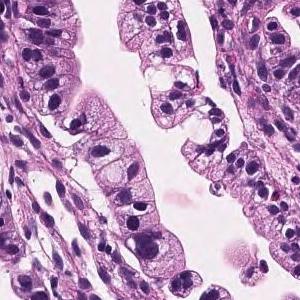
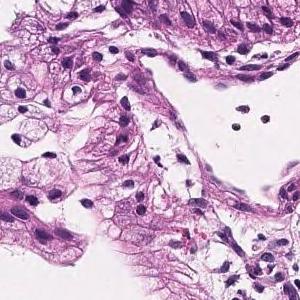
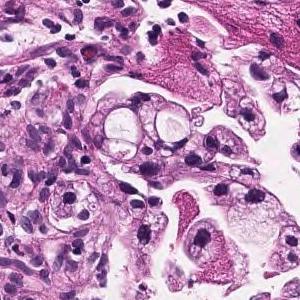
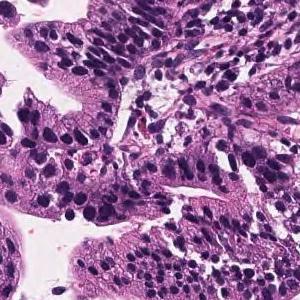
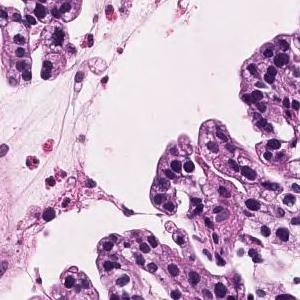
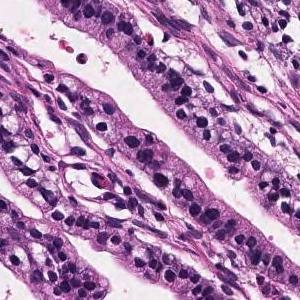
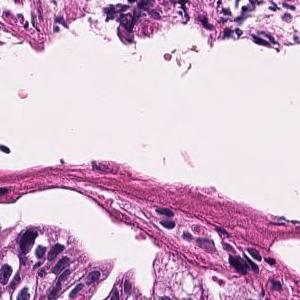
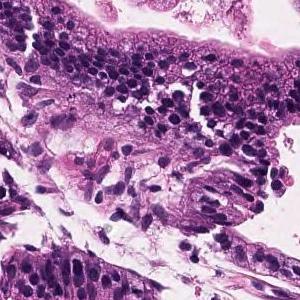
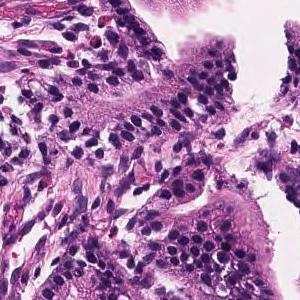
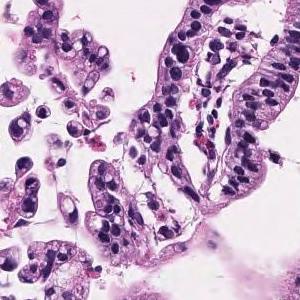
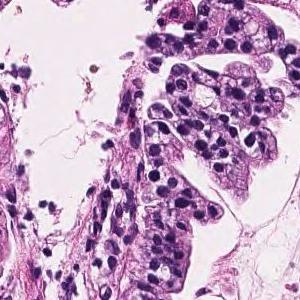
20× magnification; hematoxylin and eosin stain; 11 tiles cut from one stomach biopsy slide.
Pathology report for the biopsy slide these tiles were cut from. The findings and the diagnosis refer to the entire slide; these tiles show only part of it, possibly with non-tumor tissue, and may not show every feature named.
Tumor tissue consisting of large papillary structures or irregular glandular ducts partially fused and infiltrated is observed in the superficial epithelium. Well to moderately differentiated tubular adenocarcinoma.
Dataset label: moderately differentiated tubular adenocarcinoma.
